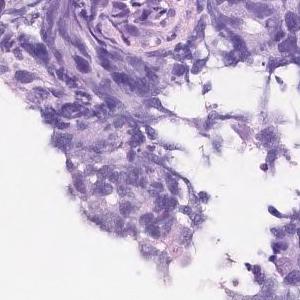
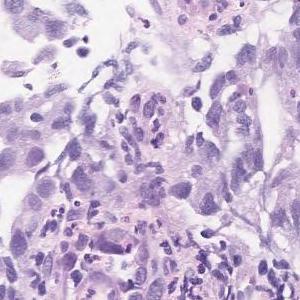
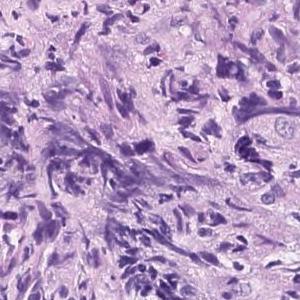
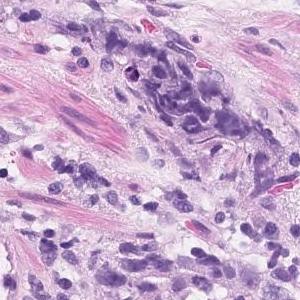
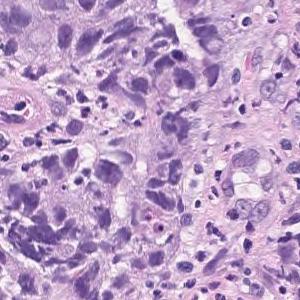
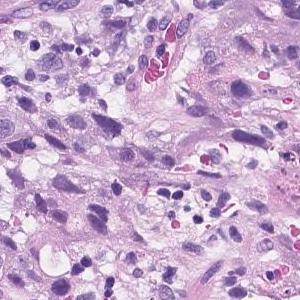
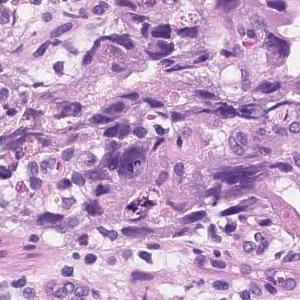
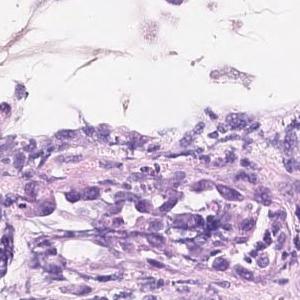
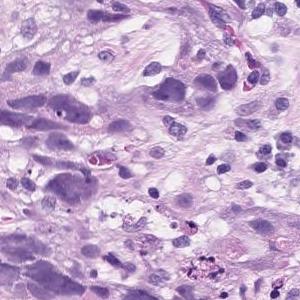
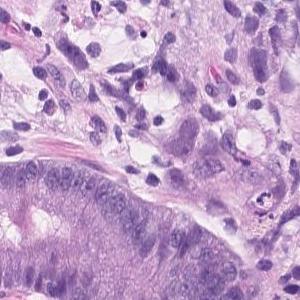
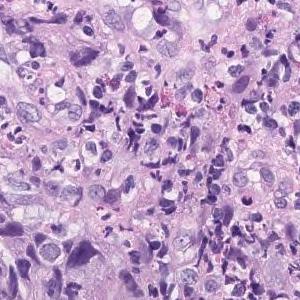
11 patches cut from one gastric biopsy slide · H&E · 20× magnification.
Report on the slide these tiles come from. The report describes the whole slide, diagnosis included: not every finding it names need appear in these tiles, which may also show non-tumor tissue.
Atypical epithelial cells infiltrating and proliferating diffusely or while forming vesicles is observed. Poorly differentiated adenocarcinoma (poorly differentiated adenocarcinoma, solid type moderately differentiated tubular adenocarcinoma)
Dataset label: poorly differentiated adenocarcinoma, solid type, a category of the Japanese Classification of Gastric Carcinoma; in the WHO 2019 classification it is tubular adenocarcinoma, poorly differentiated.
